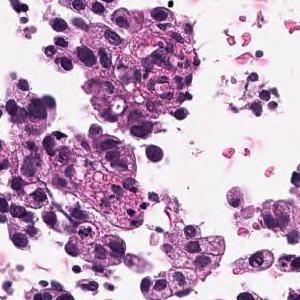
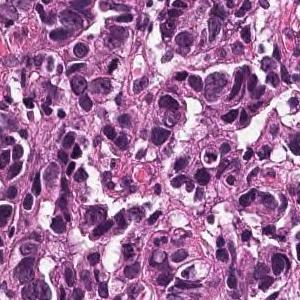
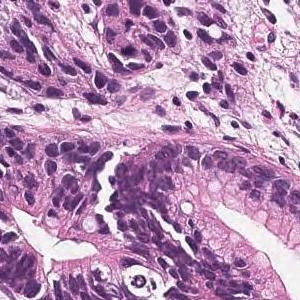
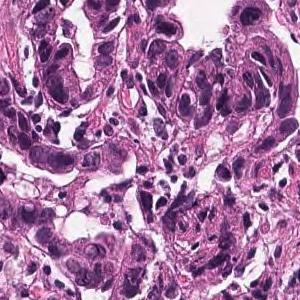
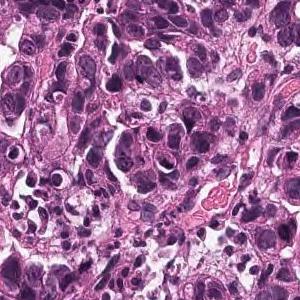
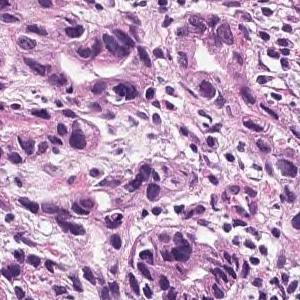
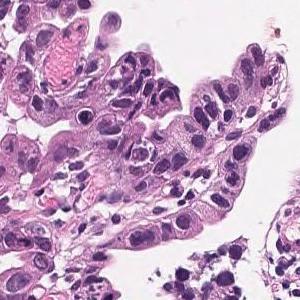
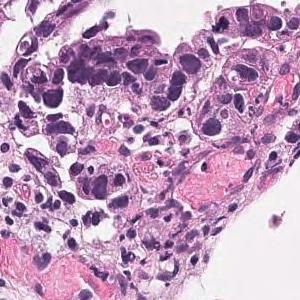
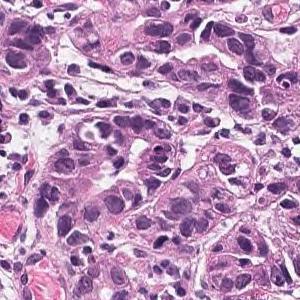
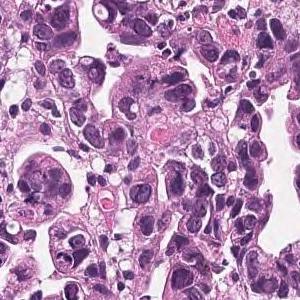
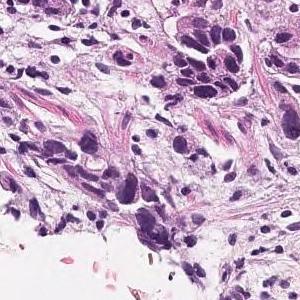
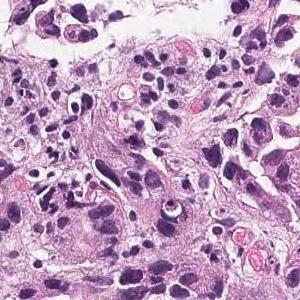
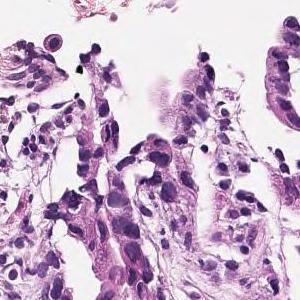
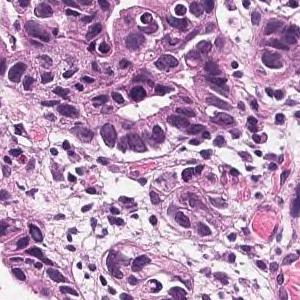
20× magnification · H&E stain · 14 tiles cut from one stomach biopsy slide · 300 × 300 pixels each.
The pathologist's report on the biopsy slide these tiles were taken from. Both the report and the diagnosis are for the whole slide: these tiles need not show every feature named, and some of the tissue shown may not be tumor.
Medium to small, irregular glandular ducts are formed in the superficial epithelium, and in some cases, the glandular ducts are fused to show solid alveolar lesions and infiltrating tumor tissue is observed. Moderately to poorly differentiated adenocarcinoma.
